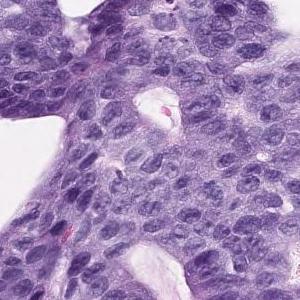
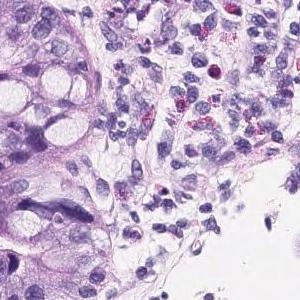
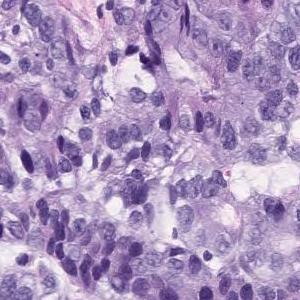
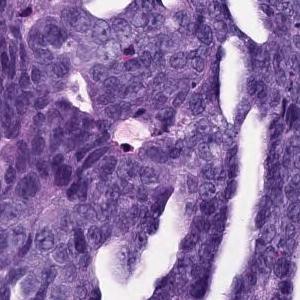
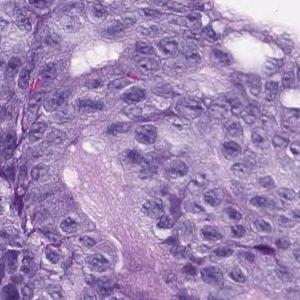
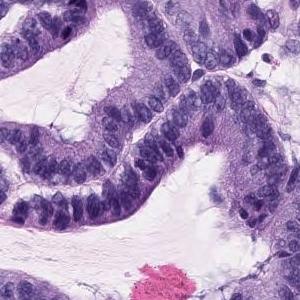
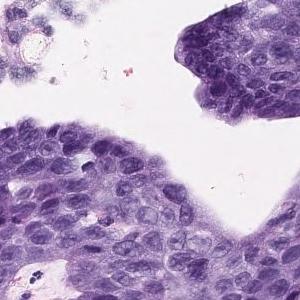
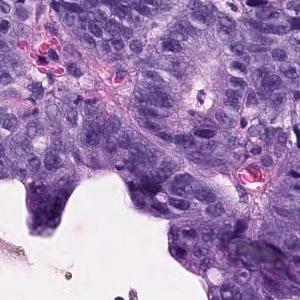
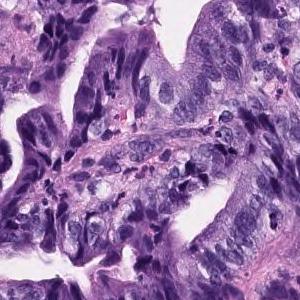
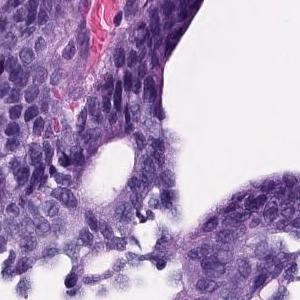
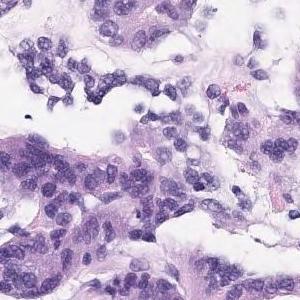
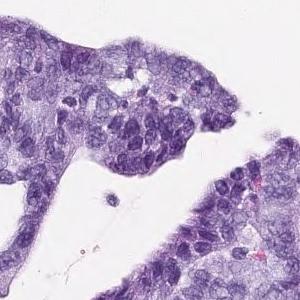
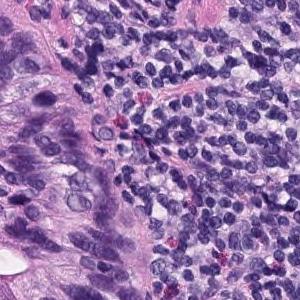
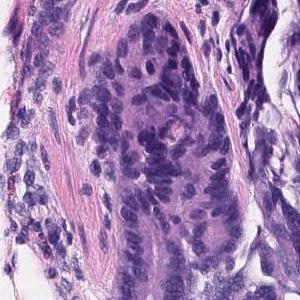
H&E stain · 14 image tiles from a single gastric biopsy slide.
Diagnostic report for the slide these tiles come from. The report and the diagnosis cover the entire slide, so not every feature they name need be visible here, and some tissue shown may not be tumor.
In the superficial epithelium, tumor tissue that invades by forming medium-sized to small, irregular ducts is observed. Well to moderately differentiated tubular adenocarcinoma.
